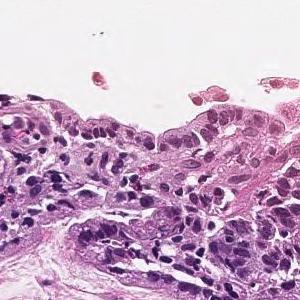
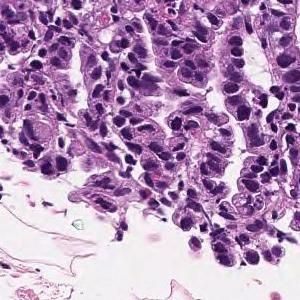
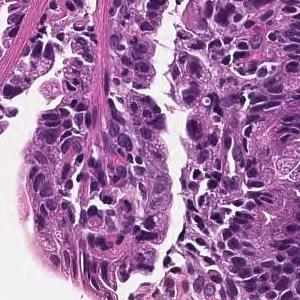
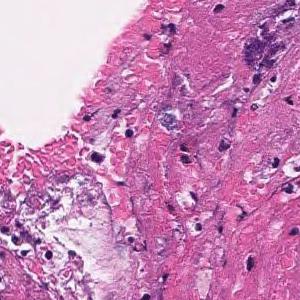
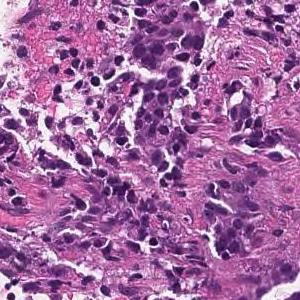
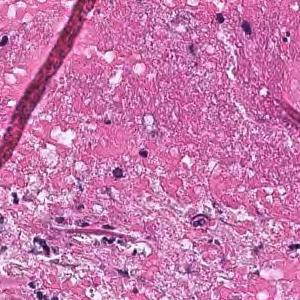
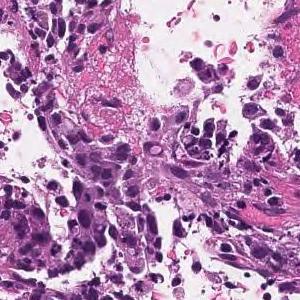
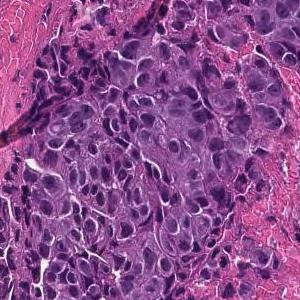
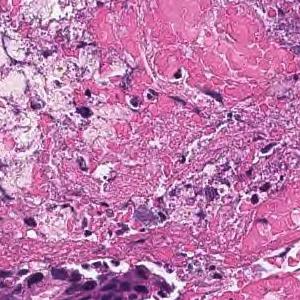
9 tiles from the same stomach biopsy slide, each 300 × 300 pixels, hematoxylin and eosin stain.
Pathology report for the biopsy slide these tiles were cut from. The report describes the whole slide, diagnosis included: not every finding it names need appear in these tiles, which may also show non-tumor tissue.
On the superficial epithelium, tumor tissue that infiltrates by forming medium-sized papillary or small irregular ducts is observed. Papillary adenocarcinoma
